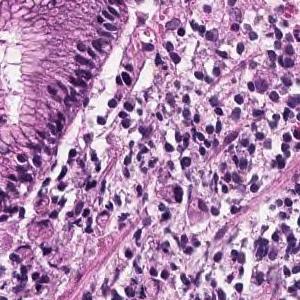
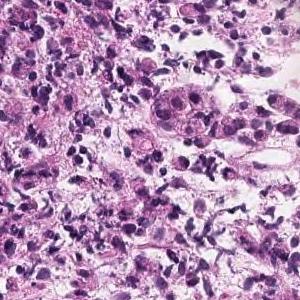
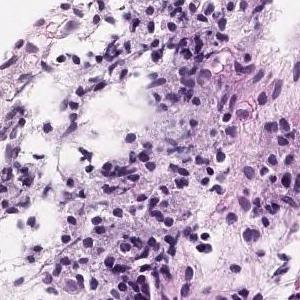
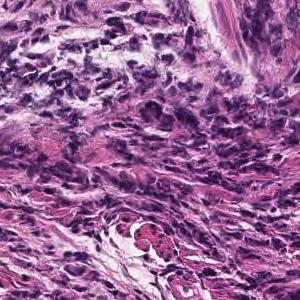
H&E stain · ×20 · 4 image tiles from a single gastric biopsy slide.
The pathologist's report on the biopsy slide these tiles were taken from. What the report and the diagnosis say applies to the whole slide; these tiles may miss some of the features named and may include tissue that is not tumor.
In the lamina propria, a tumor tissue consisting of signet ring cell type atypical epithelial cells infiltrating is observed. Signet ring cell carcinoma.
